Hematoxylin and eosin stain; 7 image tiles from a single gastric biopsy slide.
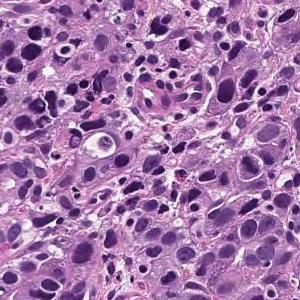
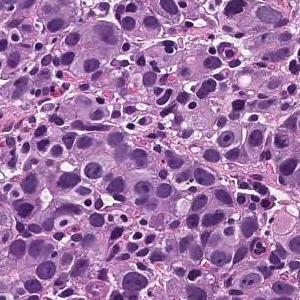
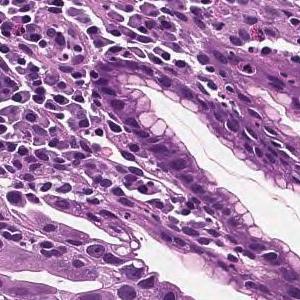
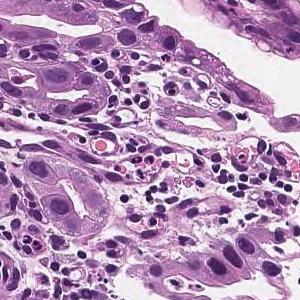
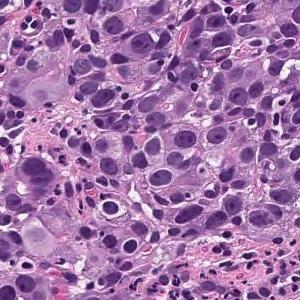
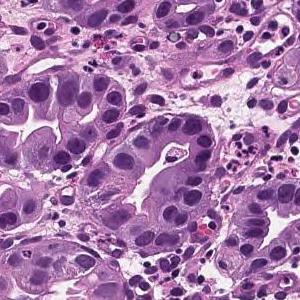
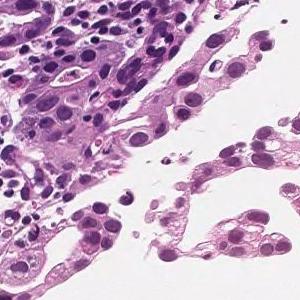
Diagnostic report for the slide these tiles come from. The report describes the whole slide, diagnosis included: not every finding it names need appear in these tiles, which may also show non-tumor tissue.
The superficial epithelium shows a large sheet or alveolar shape, and tumor tissue infiltrating without irregular ducts is observed. Poorly differentiated adenocarcinoma, solid-type
Classified as poorly differentiated adenocarcinoma, solid type (Japanese Classification of Gastric Carcinoma). The WHO 2019 equivalent is tubular adenocarcinoma, poorly differentiated.
